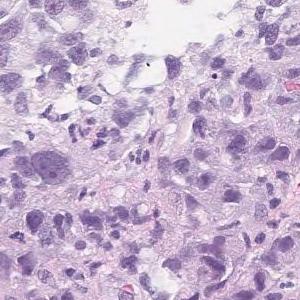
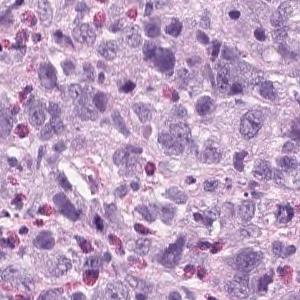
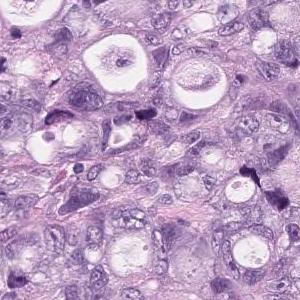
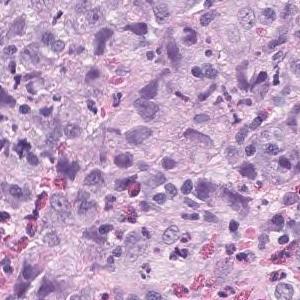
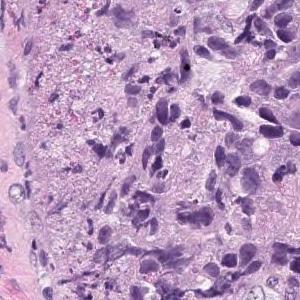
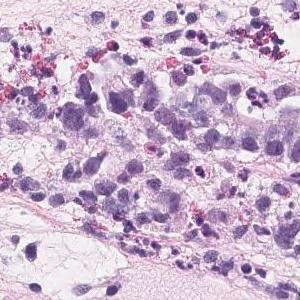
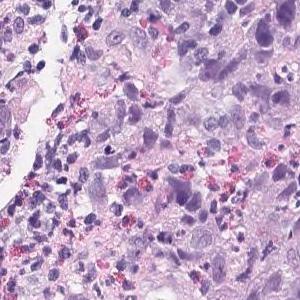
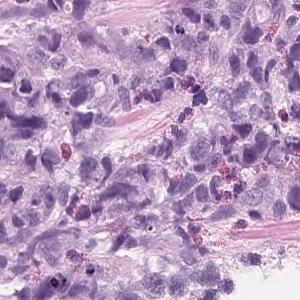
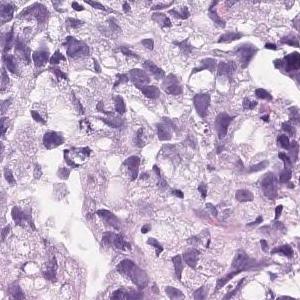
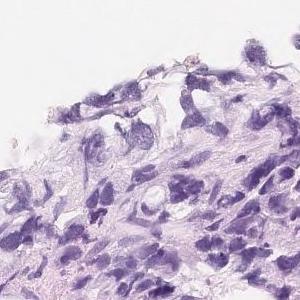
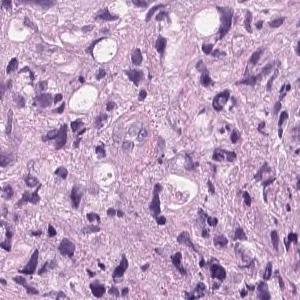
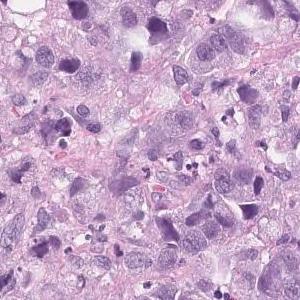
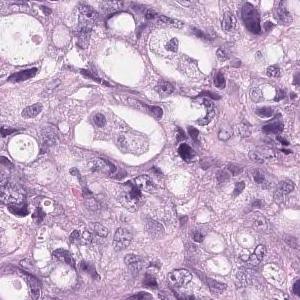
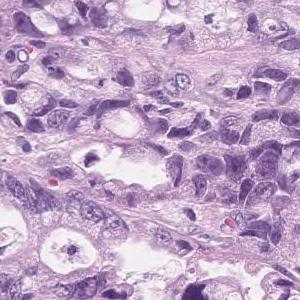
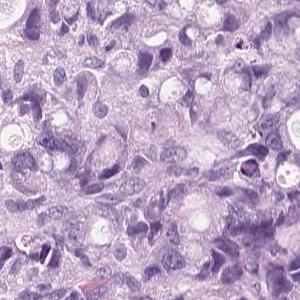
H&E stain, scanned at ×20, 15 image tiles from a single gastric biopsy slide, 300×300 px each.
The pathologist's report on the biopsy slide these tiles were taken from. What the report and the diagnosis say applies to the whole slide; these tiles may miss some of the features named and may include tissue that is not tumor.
Tumor tissue that infiltrates and proliferates by forming small glandular cavities in the superficial layer to the submucosa or forming a mass is observed. moderately differentiated tubular adenocarcinoma
